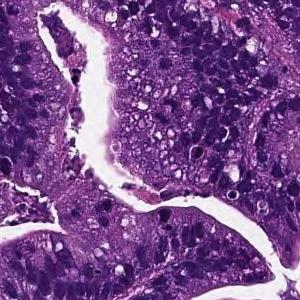
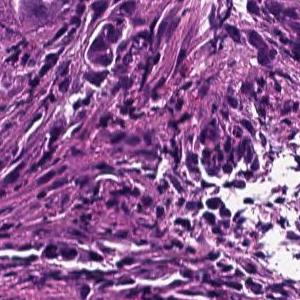
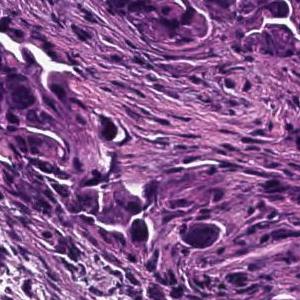
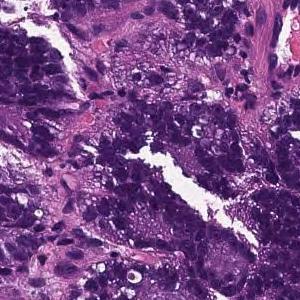
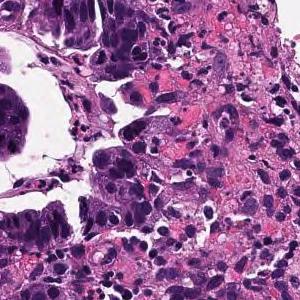
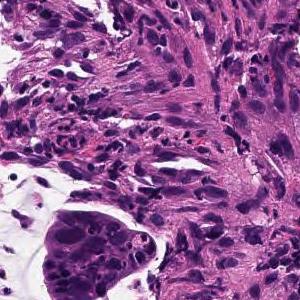
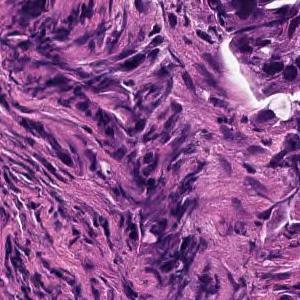
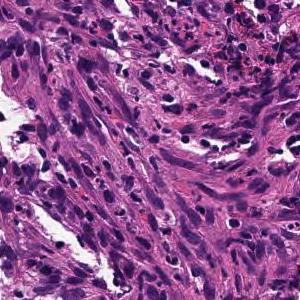
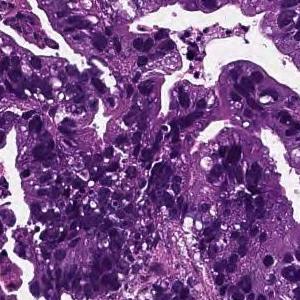
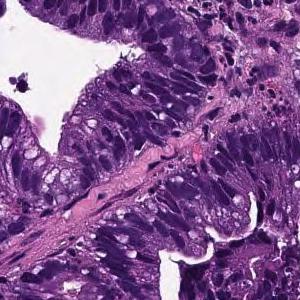
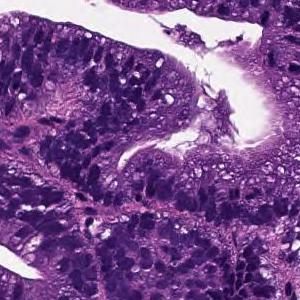
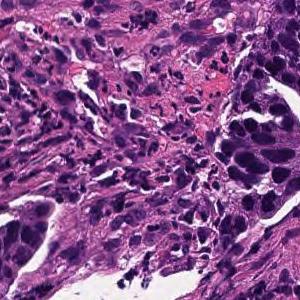
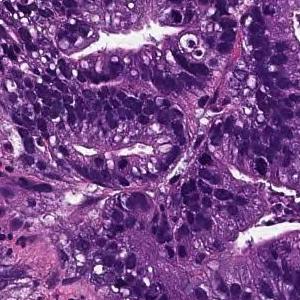
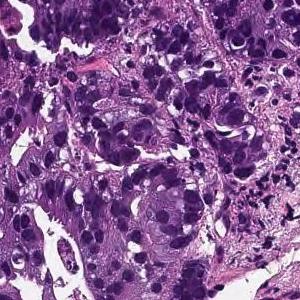
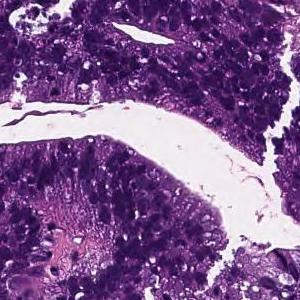
15 tiles cut from one stomach biopsy slide, 300×300 px each, 20× magnification.
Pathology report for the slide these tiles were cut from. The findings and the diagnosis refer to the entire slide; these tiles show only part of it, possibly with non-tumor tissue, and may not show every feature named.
Tumor cells are large, highly columnar, large club-shaped nuclei, and are associated with chromatin aggregation. Papillary adenocarcinoma.
